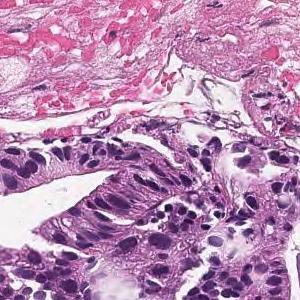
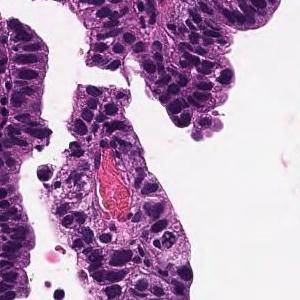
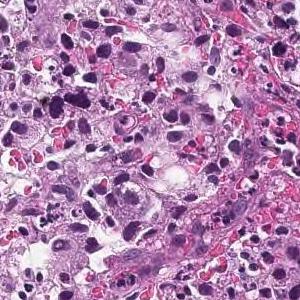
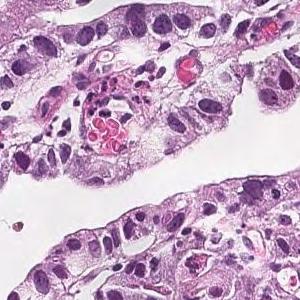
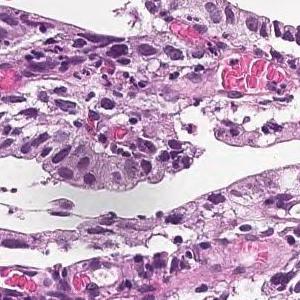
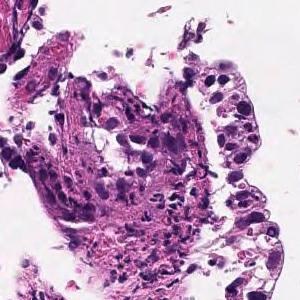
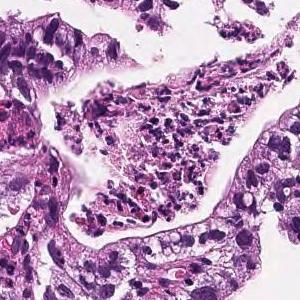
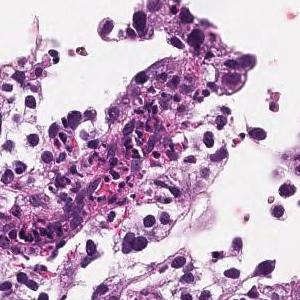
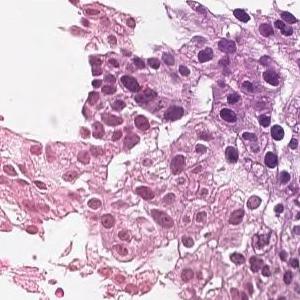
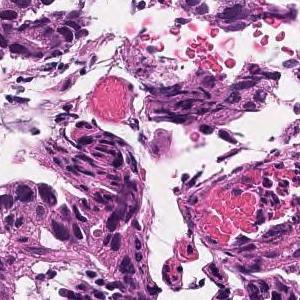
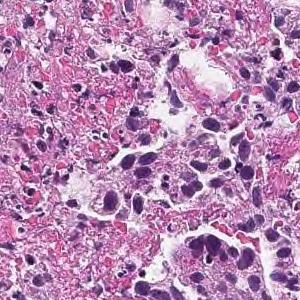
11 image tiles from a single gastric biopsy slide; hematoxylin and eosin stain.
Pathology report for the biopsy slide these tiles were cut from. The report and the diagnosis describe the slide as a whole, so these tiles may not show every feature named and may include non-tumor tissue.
Tumor tissue consisting of medium-sized, cord-like or irregular glandular infiltration is observed in the superficial epithelium. Poorly differentiated adenocarcinoma, non-solid type or moderately differentiated tubular adenocarcinoma
Classified as moderately to poorly differentiated adenocarcinoma.
The term "non-solid type" comes from the Japanese Classification of Gastric Carcinoma.
